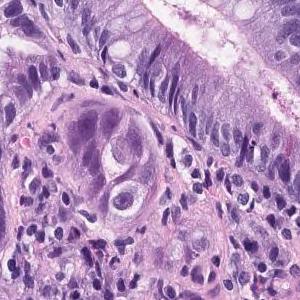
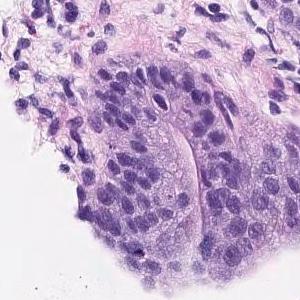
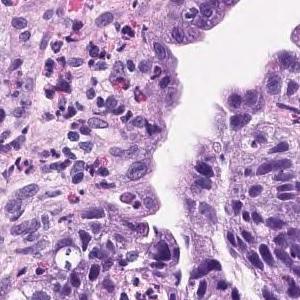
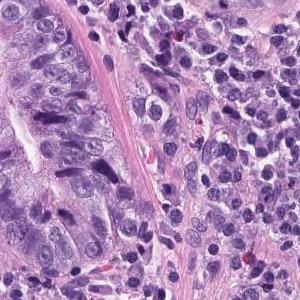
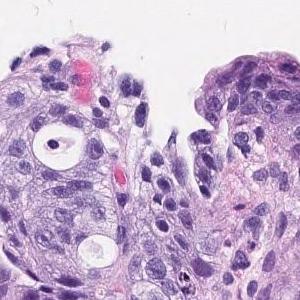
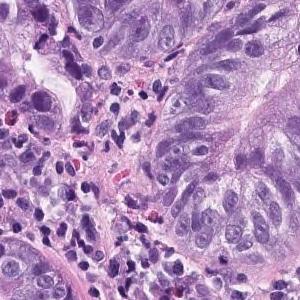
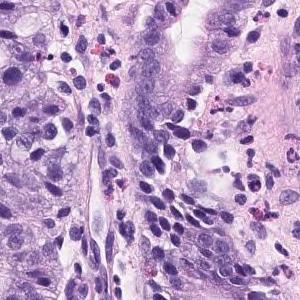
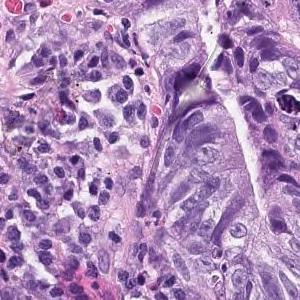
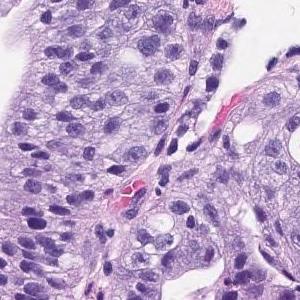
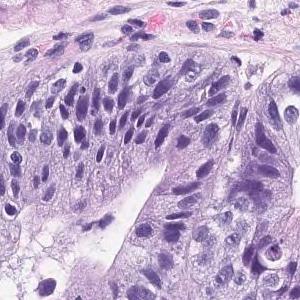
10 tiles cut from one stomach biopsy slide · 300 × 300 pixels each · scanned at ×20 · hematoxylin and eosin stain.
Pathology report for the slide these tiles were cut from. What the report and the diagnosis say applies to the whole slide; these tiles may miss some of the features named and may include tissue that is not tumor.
Atypical cells with atypical nuclei forming irregular atypical ducts and growing in a conformative manner. Well differentiated tubular adenocarcinoma
